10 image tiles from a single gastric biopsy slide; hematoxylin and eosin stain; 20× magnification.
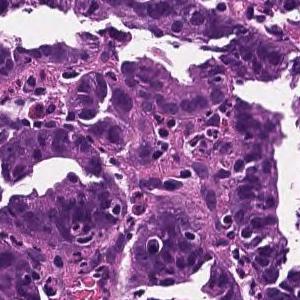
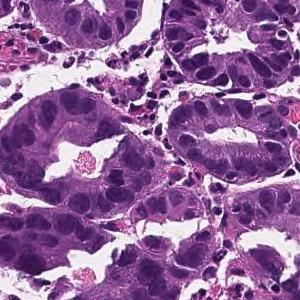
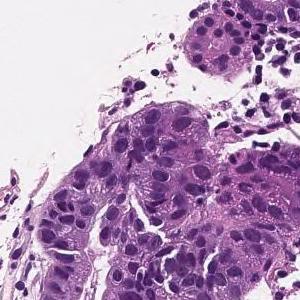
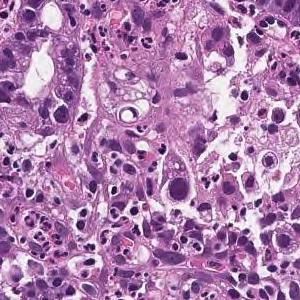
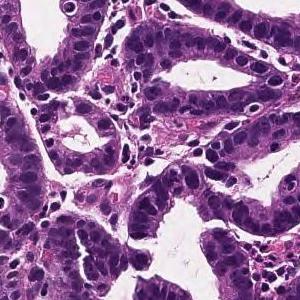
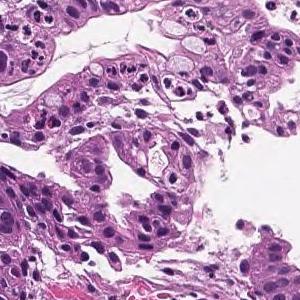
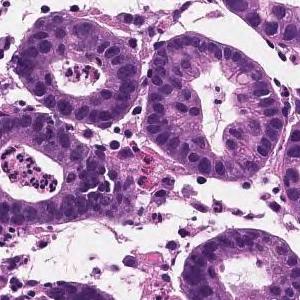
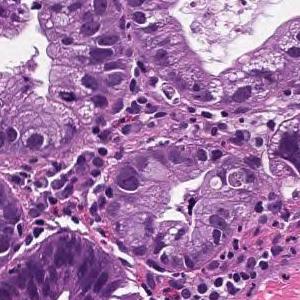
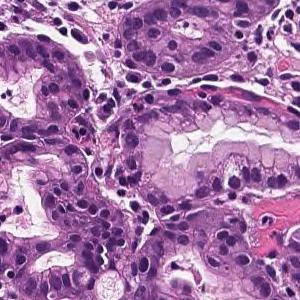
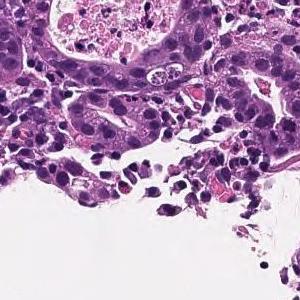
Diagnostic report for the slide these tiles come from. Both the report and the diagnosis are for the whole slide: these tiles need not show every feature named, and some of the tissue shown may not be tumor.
On the superficial epithelium, tumor tissue consisting of medium-sized irregular or small round gland ducts showing a small cord-like shape and infiltrating is observed. Well differentiated tubular adenocarcinoma or Poorly differentiated adenocarcinoma, non-solid type
The dataset labels this slide well differentiated tubular adenocarcinoma.
The term "non-solid type" comes from the Japanese Classification of Gastric Carcinoma.
